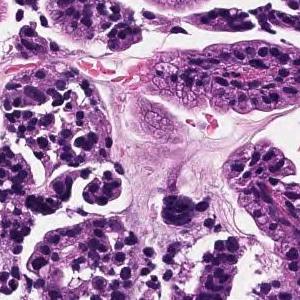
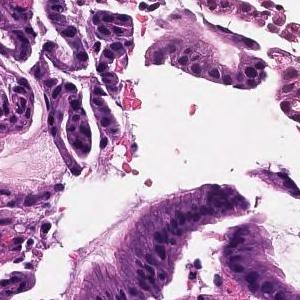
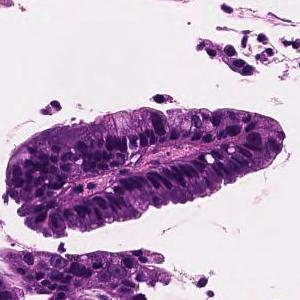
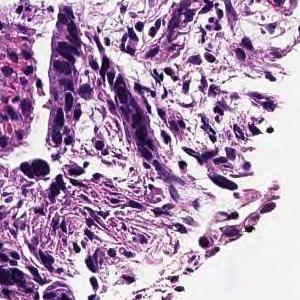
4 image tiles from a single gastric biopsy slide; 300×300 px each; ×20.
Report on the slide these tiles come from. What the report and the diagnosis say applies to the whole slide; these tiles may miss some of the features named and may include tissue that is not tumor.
On the superficial epithelium, tumor tissue that infiltrates by forming medium-sized papillary or small irregular ducts is observed. Papillary adenocarcinoma
